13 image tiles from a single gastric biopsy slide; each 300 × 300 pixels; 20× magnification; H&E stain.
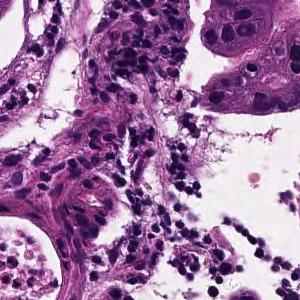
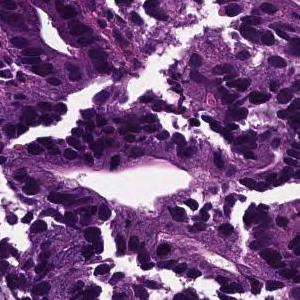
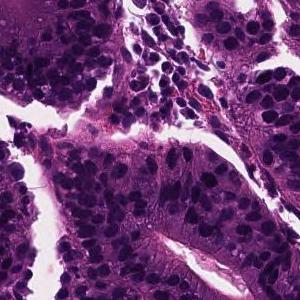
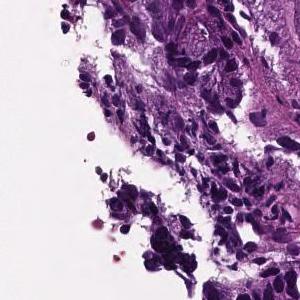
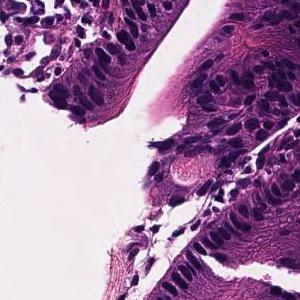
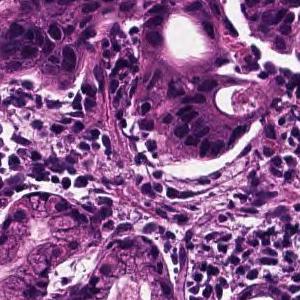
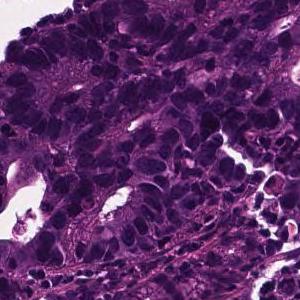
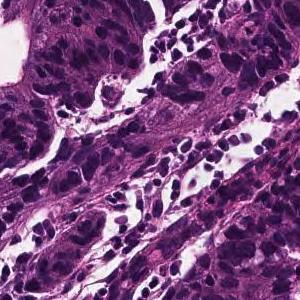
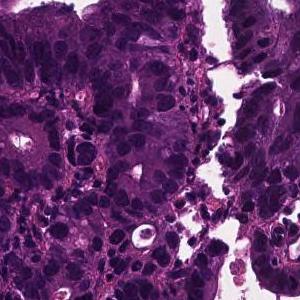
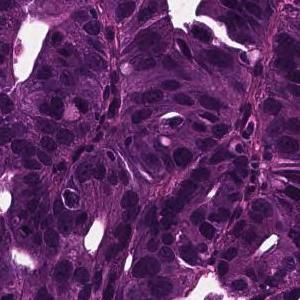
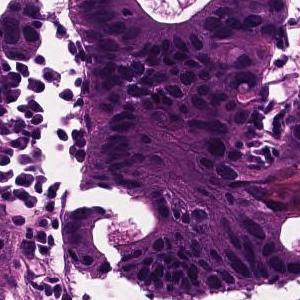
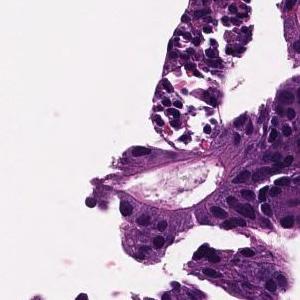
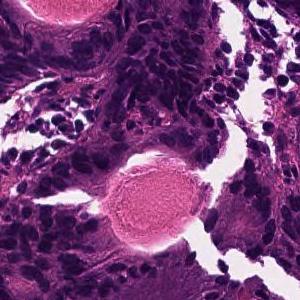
Report on the slide these tiles come from. What the report and the diagnosis say applies to the whole slide; these tiles may miss some of the features named and may include tissue that is not tumor.
In the superficial epithelium, tumor tissue that invades by forming medium-sized to small, irregular ducts is observed. moderately differentiated tubular adenocarcinoma.
